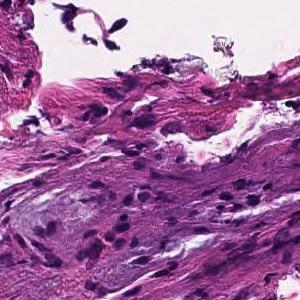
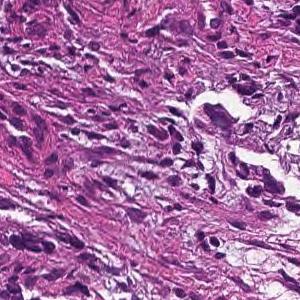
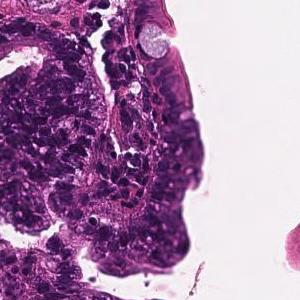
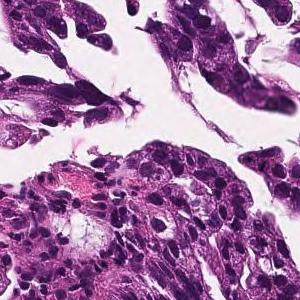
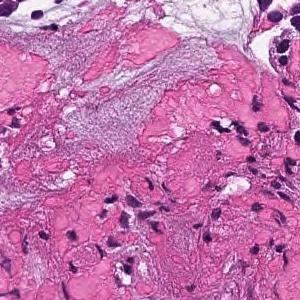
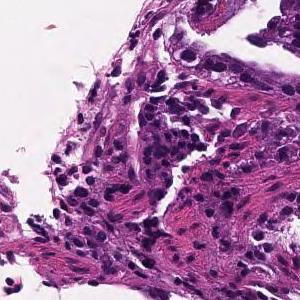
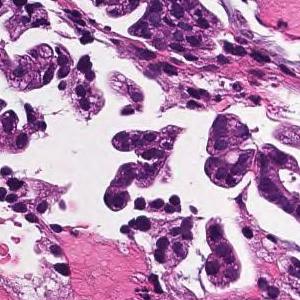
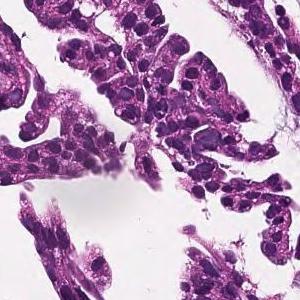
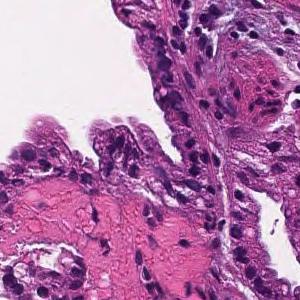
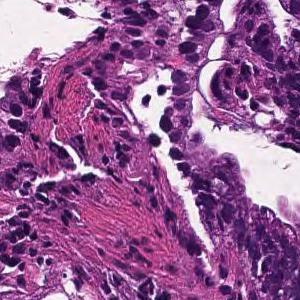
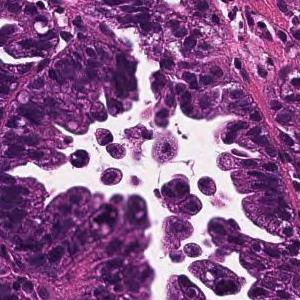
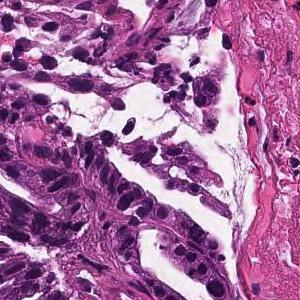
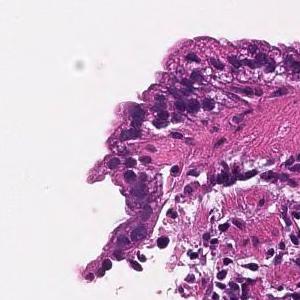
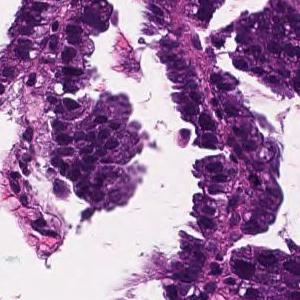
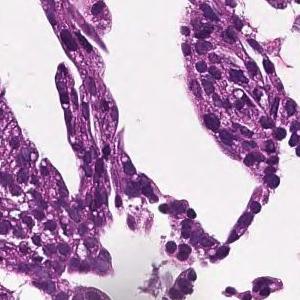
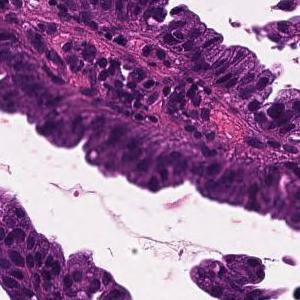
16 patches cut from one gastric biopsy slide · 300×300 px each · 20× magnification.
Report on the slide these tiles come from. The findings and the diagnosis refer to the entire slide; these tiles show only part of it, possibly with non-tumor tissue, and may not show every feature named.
Tumor cells are large, highly columnar, large club-shaped nuclei, and are associated with chromatin aggregation. Papillary adenocarcinoma.
